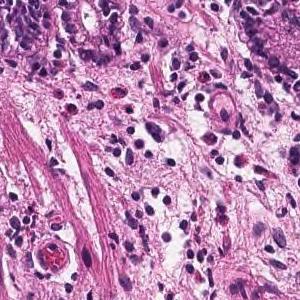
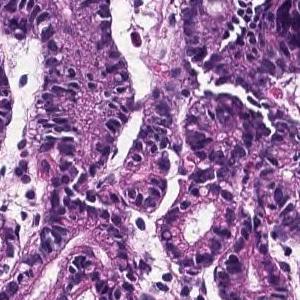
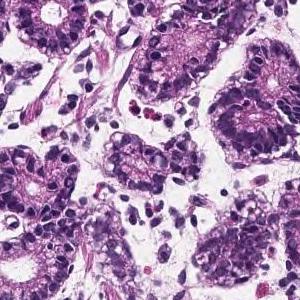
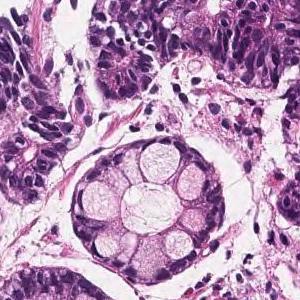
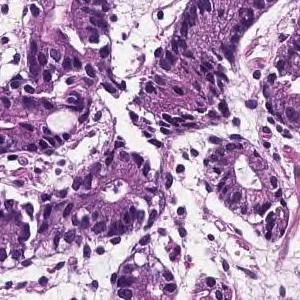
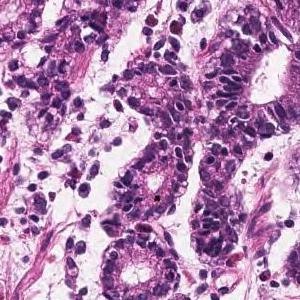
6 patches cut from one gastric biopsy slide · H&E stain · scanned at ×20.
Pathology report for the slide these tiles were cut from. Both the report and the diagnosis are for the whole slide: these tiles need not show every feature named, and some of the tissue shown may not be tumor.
In the superficial epithelium, tumor tissue that invades by forming medium-sized to small, irregular ducts is observed. Well differentiated tubular adenocarcinoma.
